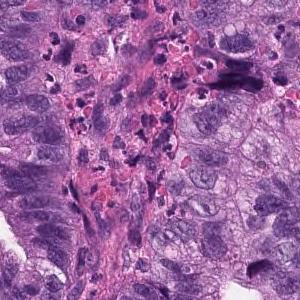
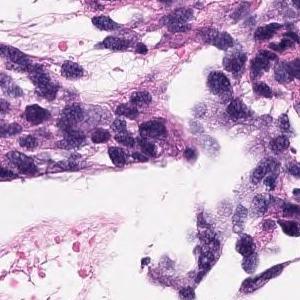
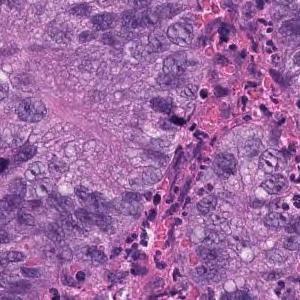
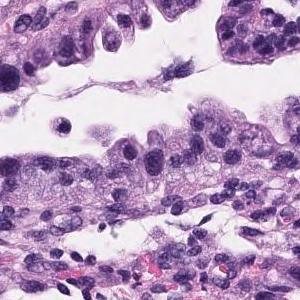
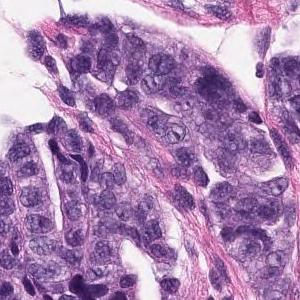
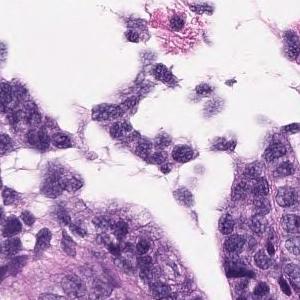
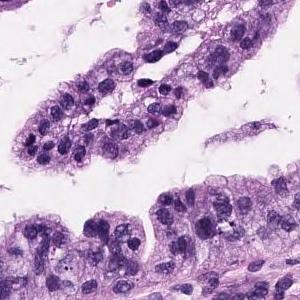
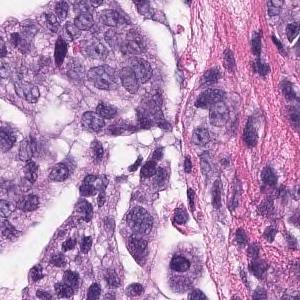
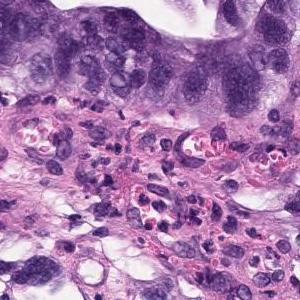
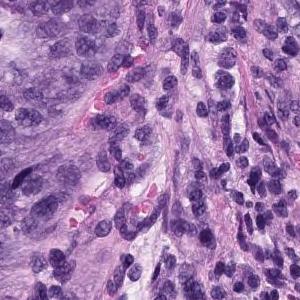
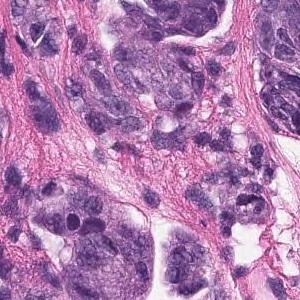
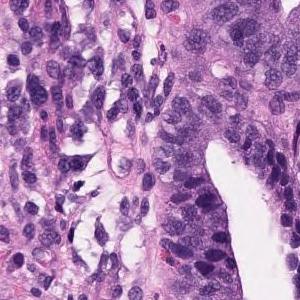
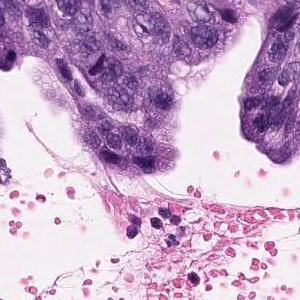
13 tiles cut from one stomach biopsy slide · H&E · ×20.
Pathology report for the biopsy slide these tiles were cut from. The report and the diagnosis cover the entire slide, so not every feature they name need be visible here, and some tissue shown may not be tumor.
Tumor cells are large, highly columnar, large club-shaped nuclei, and are associated with chromatin aggregation. Papillary adenocarcinoma.
